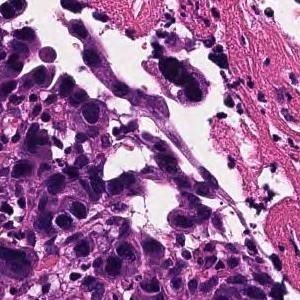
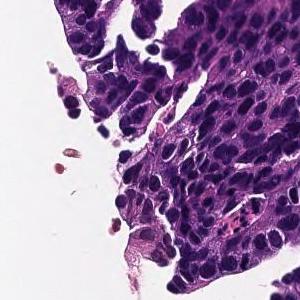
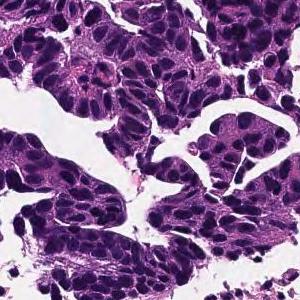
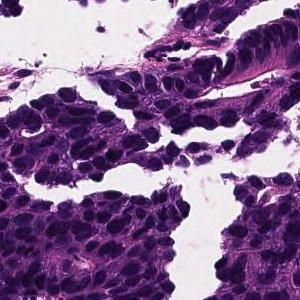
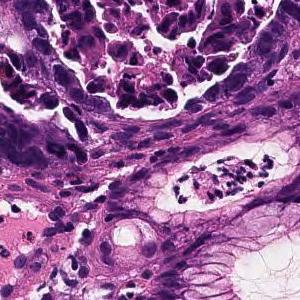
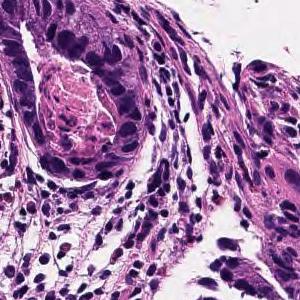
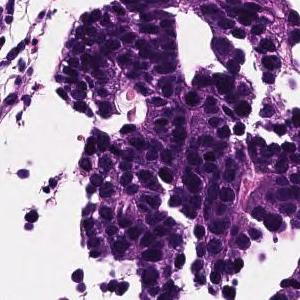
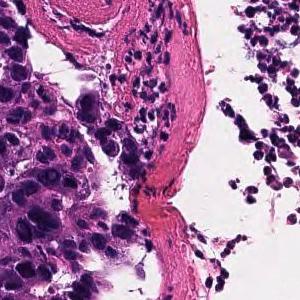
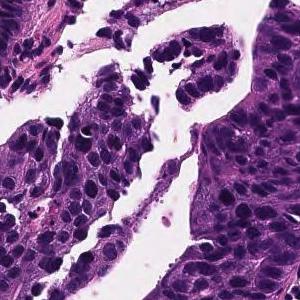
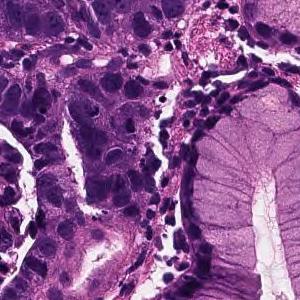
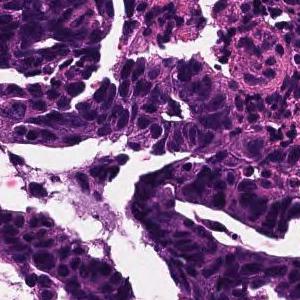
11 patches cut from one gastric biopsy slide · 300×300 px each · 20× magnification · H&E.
Pathology report for the slide these tiles were cut from. The findings and the diagnosis refer to the entire slide; these tiles show only part of it, possibly with non-tumor tissue, and may not show every feature named.
In the superficial epithelium, tumor tissue that invades by forming medium-sized to small, irregular ducts is observed. moderately differentiated tubular adenocarcinoma.
